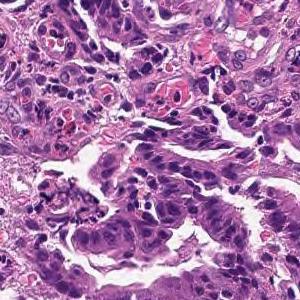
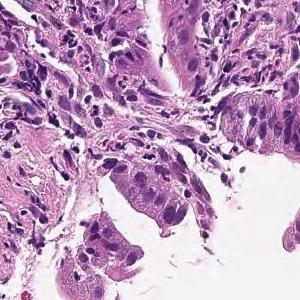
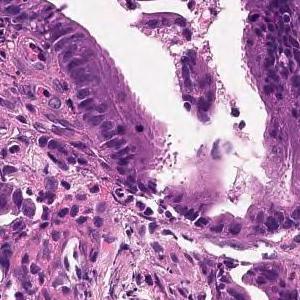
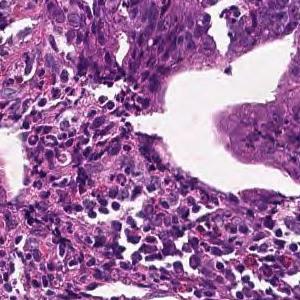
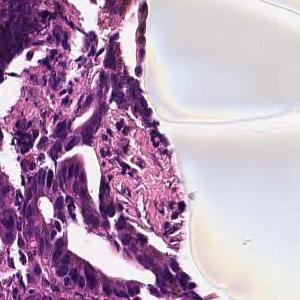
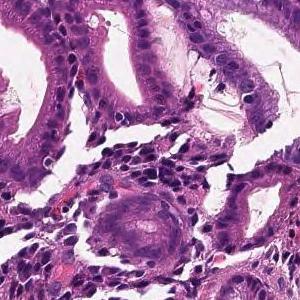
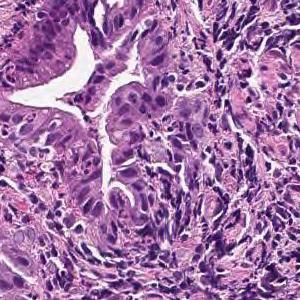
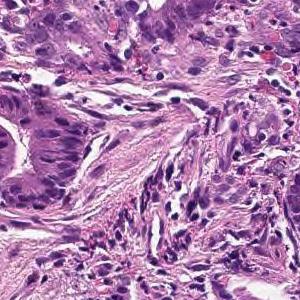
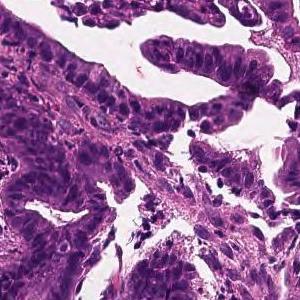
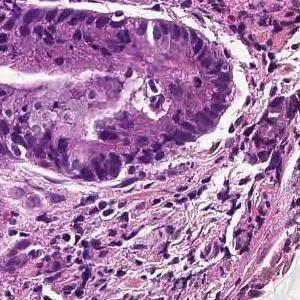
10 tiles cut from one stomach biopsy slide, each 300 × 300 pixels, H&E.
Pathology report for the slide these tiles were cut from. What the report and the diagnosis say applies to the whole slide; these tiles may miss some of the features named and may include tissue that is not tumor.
From the superficial epithelium to the muscularis mucosae, tumor tissue consisting of medium-sized and irregular glandular ducts infiltrating is observed. Well differentiated tubular adenocarcinoma
